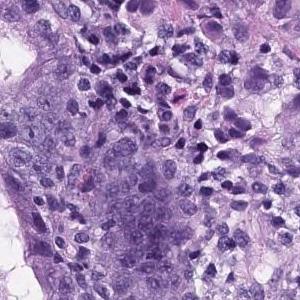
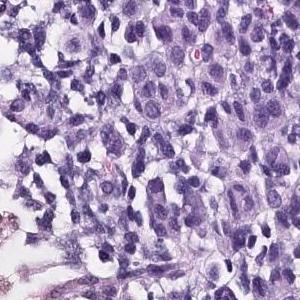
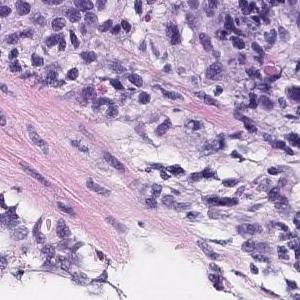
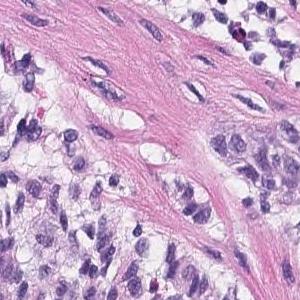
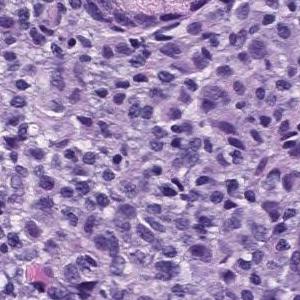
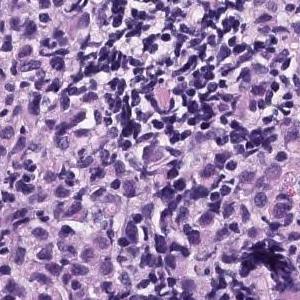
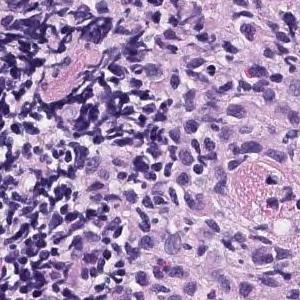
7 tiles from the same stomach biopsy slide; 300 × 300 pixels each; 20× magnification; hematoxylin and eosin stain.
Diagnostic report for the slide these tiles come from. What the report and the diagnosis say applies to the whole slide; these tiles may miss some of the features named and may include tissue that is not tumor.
There are medium-sized atypical cells with marked nuclear swelling and increased N/C ratio, which grow into solid or isolated scattered cells. Poorly differentiated adenocarcinoma
Tumor subtype: poorly differentiated adenocarcinoma, solid type, a category of the Japanese Classification of Gastric Carcinoma; in the WHO 2019 classification it is tubular adenocarcinoma, poorly differentiated.
